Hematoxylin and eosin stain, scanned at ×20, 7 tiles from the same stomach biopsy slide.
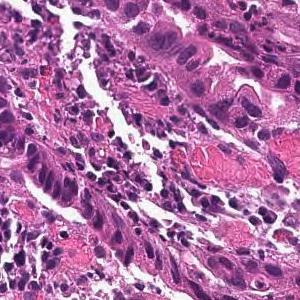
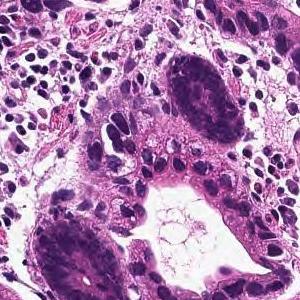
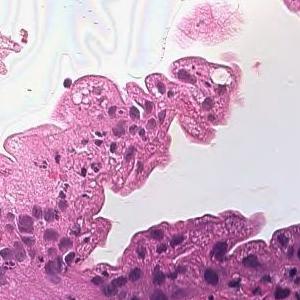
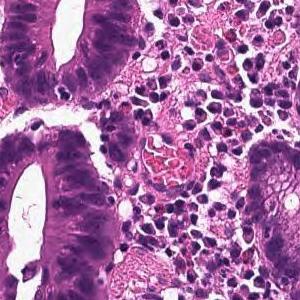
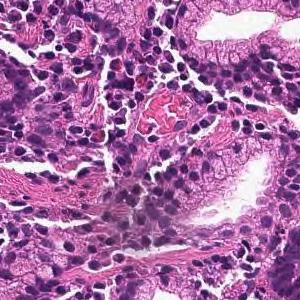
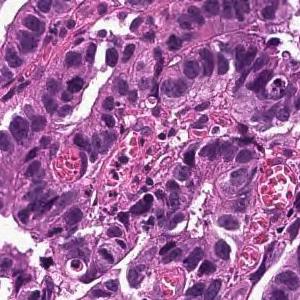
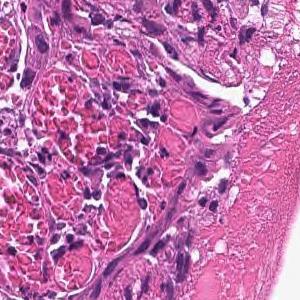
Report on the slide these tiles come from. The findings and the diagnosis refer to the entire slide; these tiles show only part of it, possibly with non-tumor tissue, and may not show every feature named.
On the superficial epithelium, tumor tissue consisting of large, irregular glandular ducts partially fused and infiltrated is observed. Well to moderately differentiated tubular adenocarcinoma (well differentiated tubular adenocarcinoma, moderately differentiated tubular adenocarcinoma)
Histologic type: Well to moderately differentiated tubular adenocarcinoma.
